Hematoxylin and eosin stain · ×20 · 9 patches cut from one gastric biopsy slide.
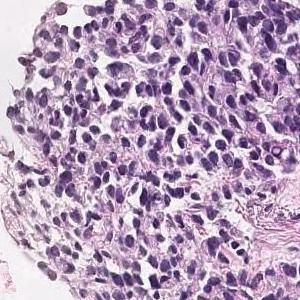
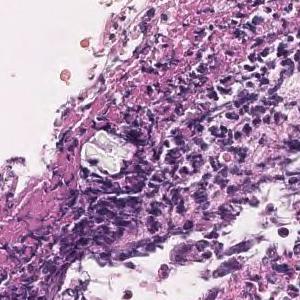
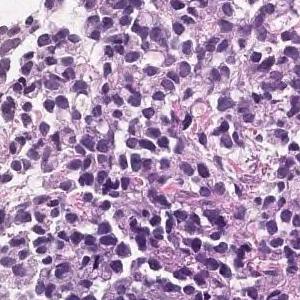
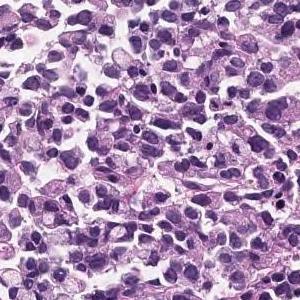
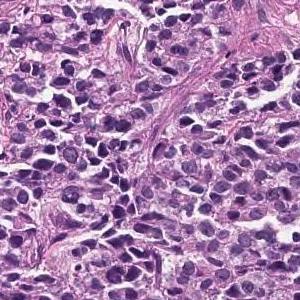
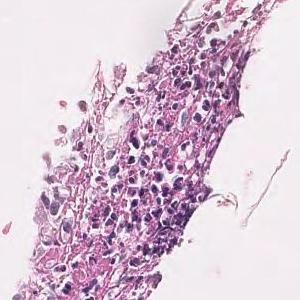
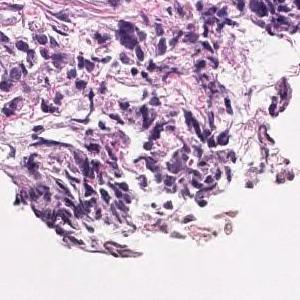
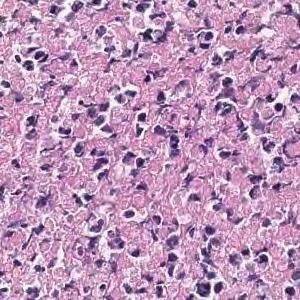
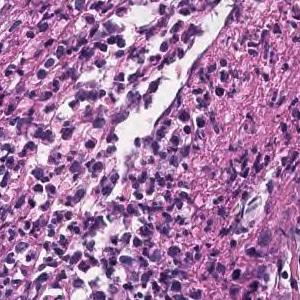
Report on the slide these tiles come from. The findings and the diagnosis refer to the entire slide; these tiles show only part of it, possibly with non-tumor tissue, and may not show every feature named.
The superficial epithelium shows a large sheet-like shape, and some tumor tissue infiltrates with small irregular ducts. Poorly differentiated adenocarcinoma, solid-type
Histologic type: Poorly differentiated adenocarcinoma, solid type. This name comes from the Japanese Classification of Gastric Carcinoma; the WHO 2019 classification calls it tubular adenocarcinoma, poorly differentiated.
